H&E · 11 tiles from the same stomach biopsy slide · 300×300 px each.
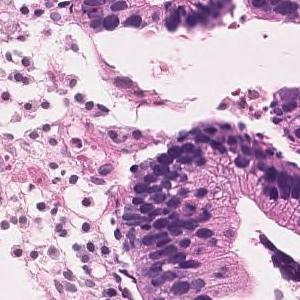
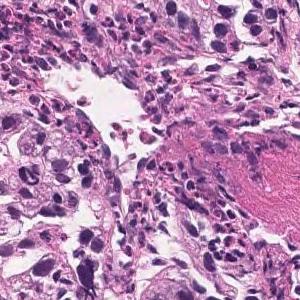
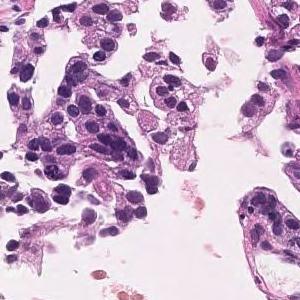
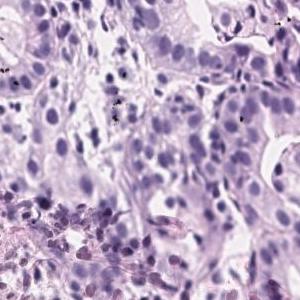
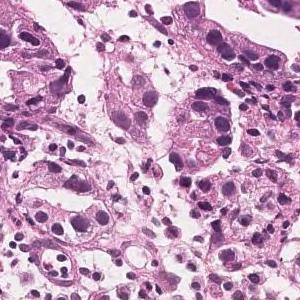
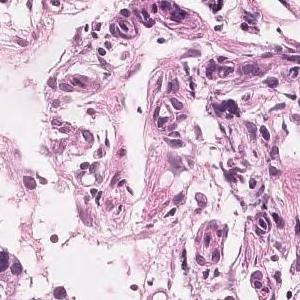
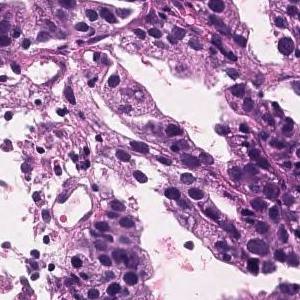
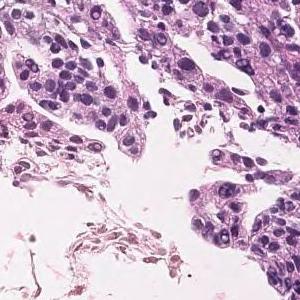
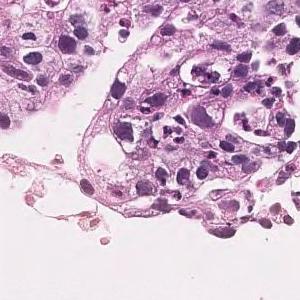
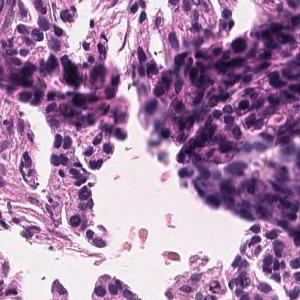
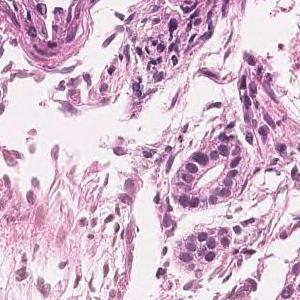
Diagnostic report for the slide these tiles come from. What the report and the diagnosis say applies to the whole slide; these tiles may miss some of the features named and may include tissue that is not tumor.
In the superficial epithelium, tumor tissue that invades by forming medium-sized to small, irregular ducts is observed. moderately differentiated tubular adenocarcinoma.
